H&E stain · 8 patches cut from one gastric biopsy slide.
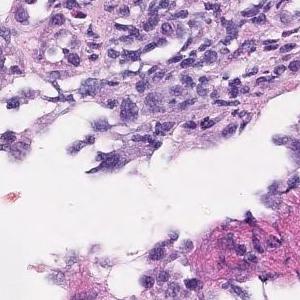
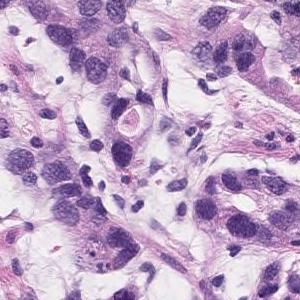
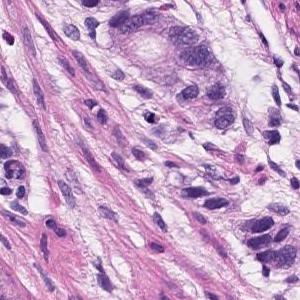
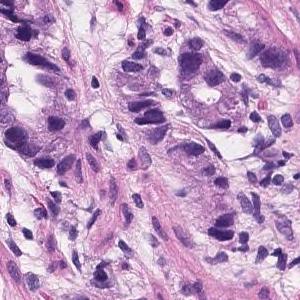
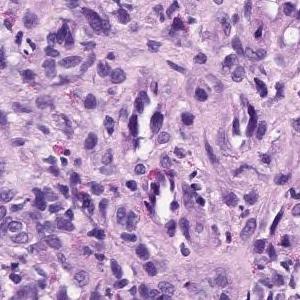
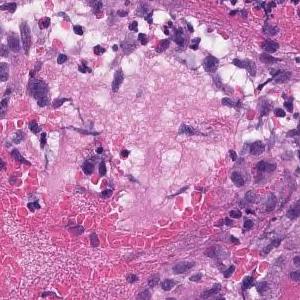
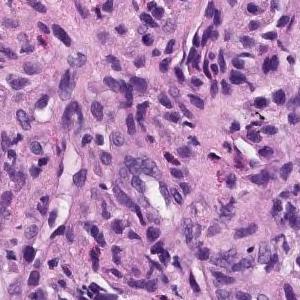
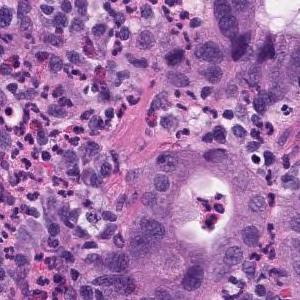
Pathology report for the biopsy slide these tiles were cut from. Both the report and the diagnosis are for the whole slide: these tiles need not show every feature named, and some of the tissue shown may not be tumor.
Group 5, Adenocarcinoma. Moderately to poorly differentiated adenocarcinoma
